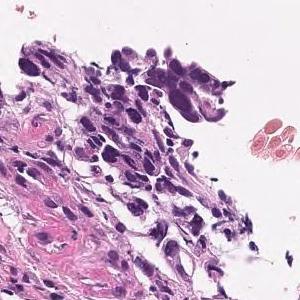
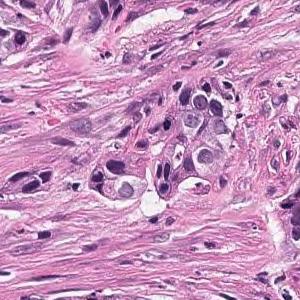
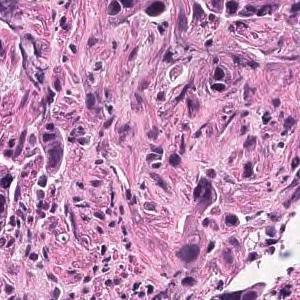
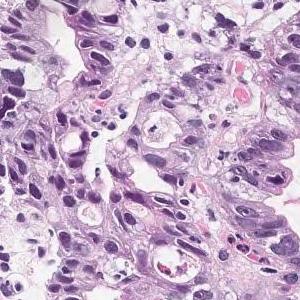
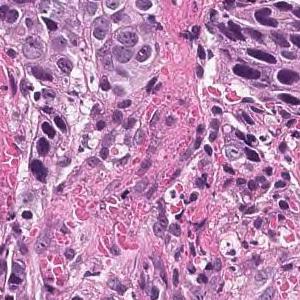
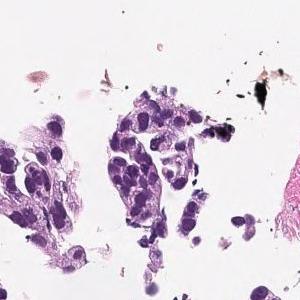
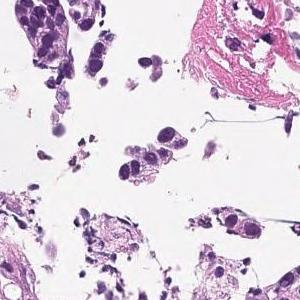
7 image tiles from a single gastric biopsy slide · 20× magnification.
Pathology report for the slide these tiles were cut from. Both the report and the diagnosis are for the whole slide: these tiles need not show every feature named, and some of the tissue shown may not be tumor.
Tumor cells are large, highly columnar, large club-shaped nuclei, and are associated with chromatin aggregation. Papillary adenocarcinoma.
